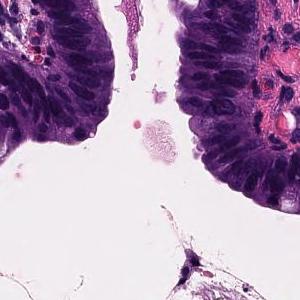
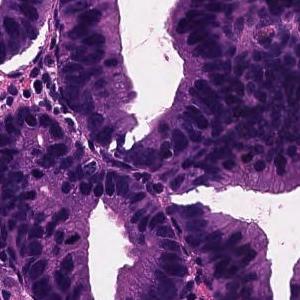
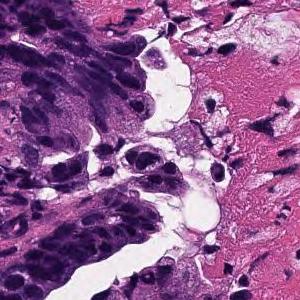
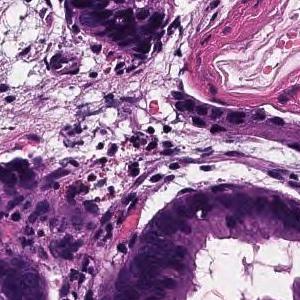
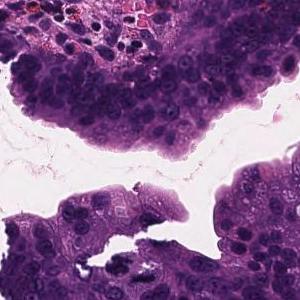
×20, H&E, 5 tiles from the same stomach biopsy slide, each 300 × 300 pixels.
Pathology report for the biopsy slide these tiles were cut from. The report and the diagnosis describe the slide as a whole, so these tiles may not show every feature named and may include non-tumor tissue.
Tumor cells are large, highly columnar, large club-shaped nuclei, and are associated with chromatin aggregation. Papillary adenocarcinoma.
